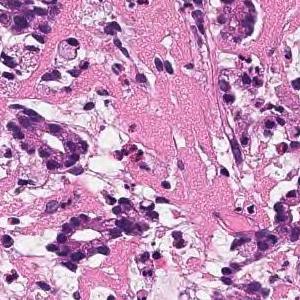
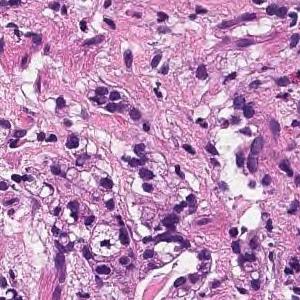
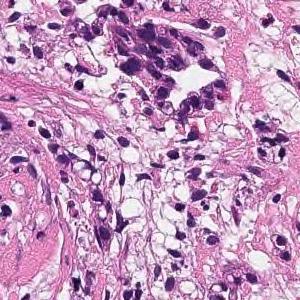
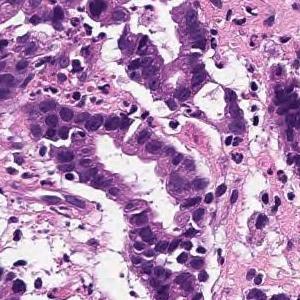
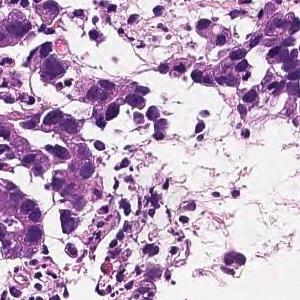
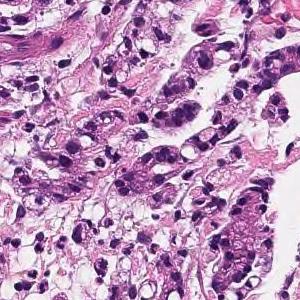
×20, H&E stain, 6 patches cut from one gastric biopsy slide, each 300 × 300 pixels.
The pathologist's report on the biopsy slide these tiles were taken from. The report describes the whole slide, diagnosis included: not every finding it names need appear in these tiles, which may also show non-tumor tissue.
In the superficial epithelium, tumor tissue that invades by forming medium-sized to small, irregular ducts is observed. moderately differentiated tubular adenocarcinoma.
